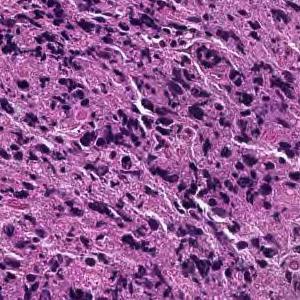
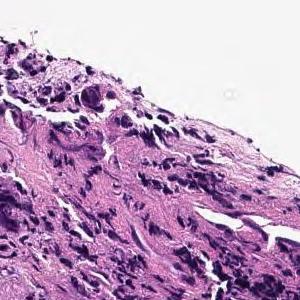
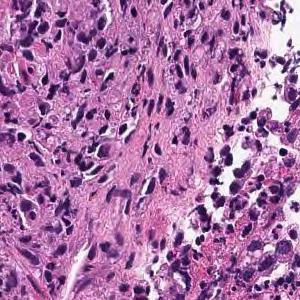
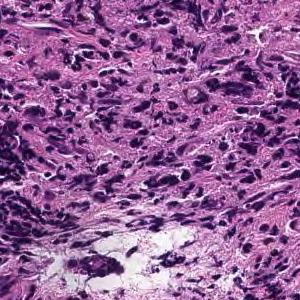
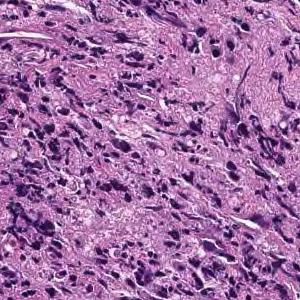
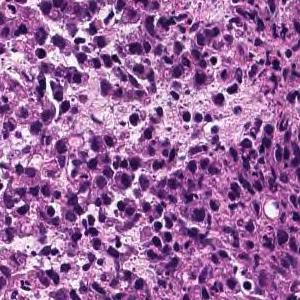
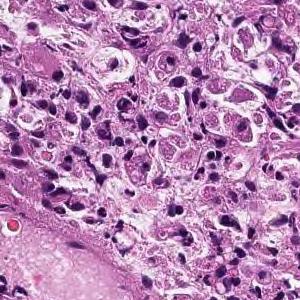
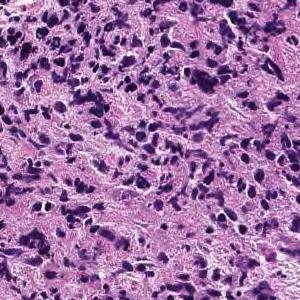
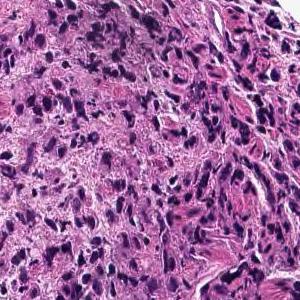
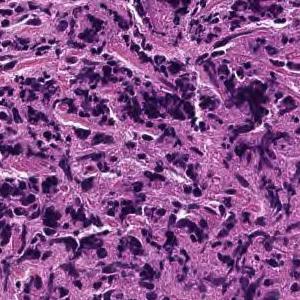
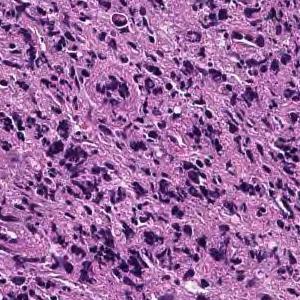
Hematoxylin and eosin stain; 20× magnification; 11 image tiles from a single gastric biopsy slide.
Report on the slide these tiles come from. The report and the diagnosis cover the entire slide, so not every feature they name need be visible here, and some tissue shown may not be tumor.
Large sheet-like or diffusely infiltrating tumor tissue is found in the superficial epithelium. Poorly differentiated adenocarcinoma, solid-type
Classified as poorly differentiated adenocarcinoma, solid type. This name comes from the Japanese Classification of Gastric Carcinoma; the WHO 2019 classification calls it tubular adenocarcinoma, poorly differentiated.
